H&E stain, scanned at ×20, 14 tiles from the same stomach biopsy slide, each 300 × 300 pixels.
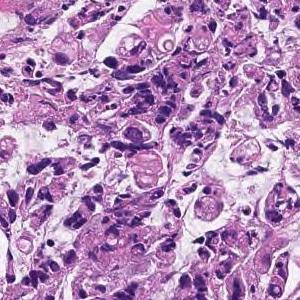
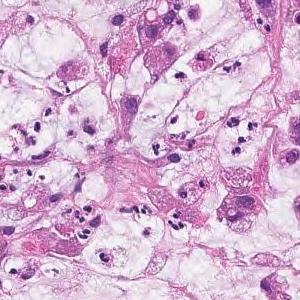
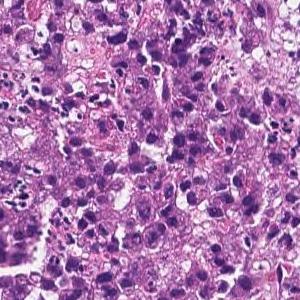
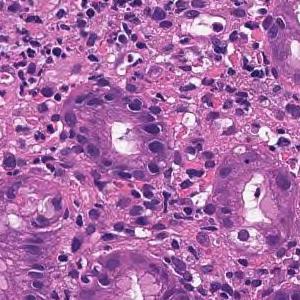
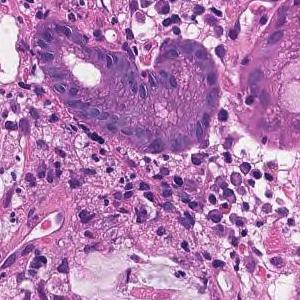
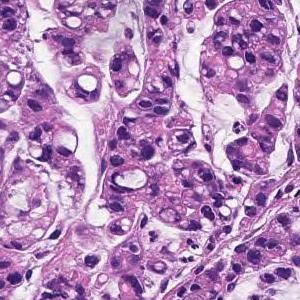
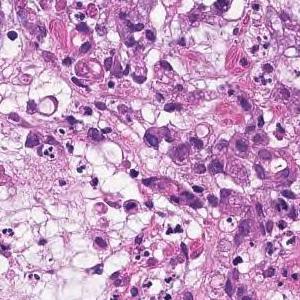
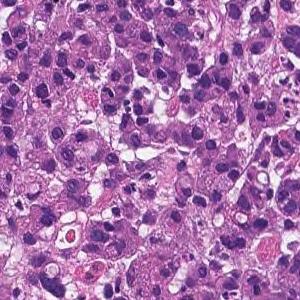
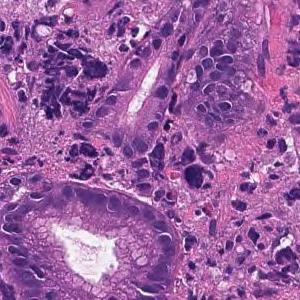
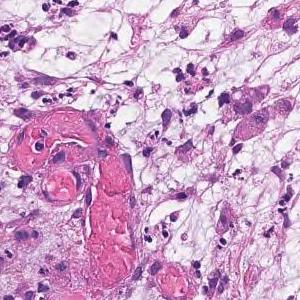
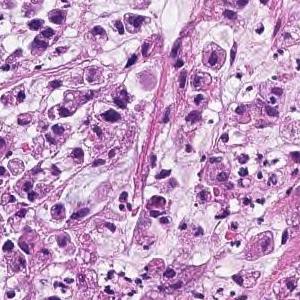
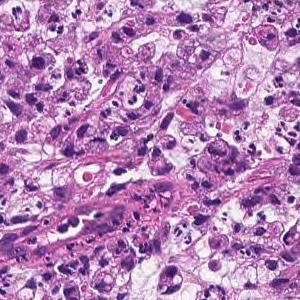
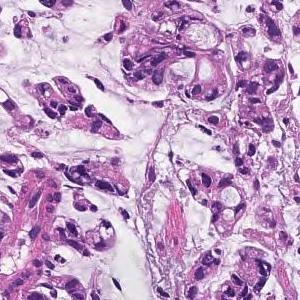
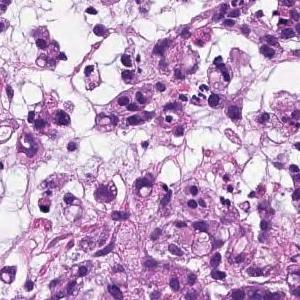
Report on the slide these tiles come from. What the report and the diagnosis say applies to the whole slide; these tiles may miss some of the features named and may include tissue that is not tumor.
Tumor tissue consisting of cord-like or small, irregular glandular ducts fused and infiltrated is observed in the superficial epithelium. Poorly differentiated adenocarcinoma, non-solid type
The non-solid type named here is a Japanese Classification of Gastric Carcinoma category.
